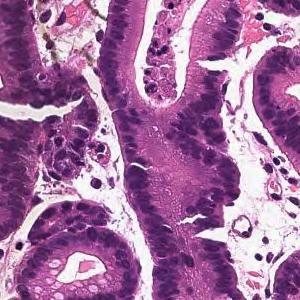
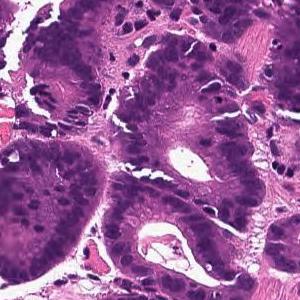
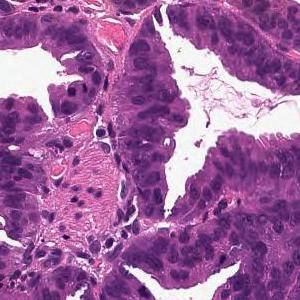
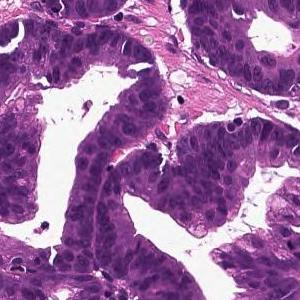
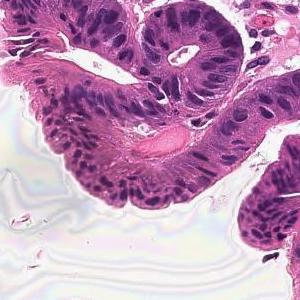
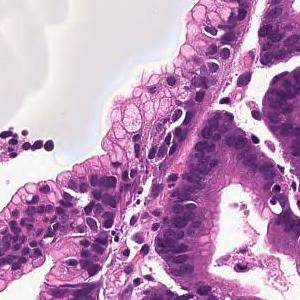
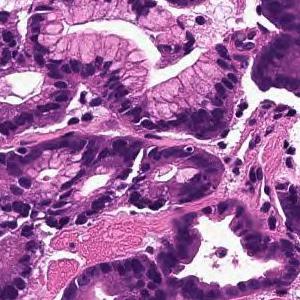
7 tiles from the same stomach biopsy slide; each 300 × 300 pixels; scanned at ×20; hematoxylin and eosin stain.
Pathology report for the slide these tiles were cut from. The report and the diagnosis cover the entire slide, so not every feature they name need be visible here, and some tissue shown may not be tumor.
From the superficial epithelium to the muscularis mucosae, tumor tissue consisting of medium-sized and irregular glandular ducts infiltrating is observed. Well differentiated tubular adenocarcinoma
